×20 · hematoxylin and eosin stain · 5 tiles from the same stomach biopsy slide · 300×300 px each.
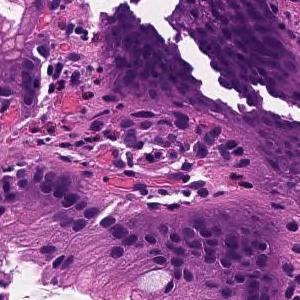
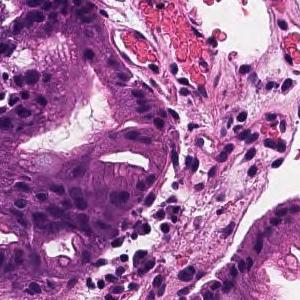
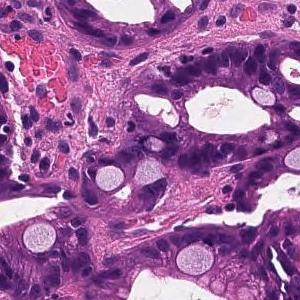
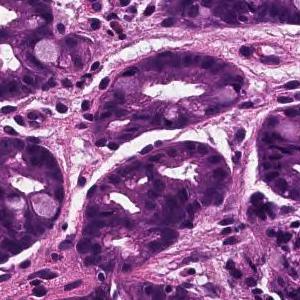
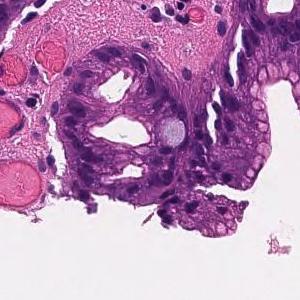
The pathologist's report on the biopsy slide these tiles were taken from. The report and the diagnosis cover the entire slide, so not every feature they name need be visible here, and some tissue shown may not be tumor.
From the superficial epithelium to the muscularis mucosae, tumor tissue consisting of medium-sized and irregular glandular ducts infiltrating is observed. Well differentiated tubular adenocarcinoma
